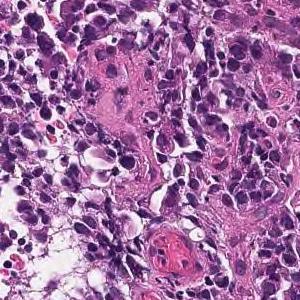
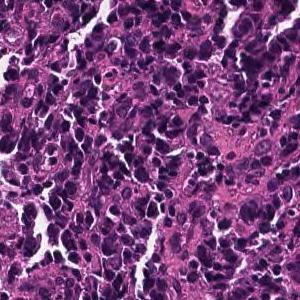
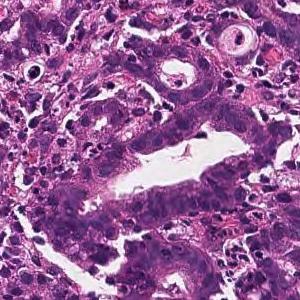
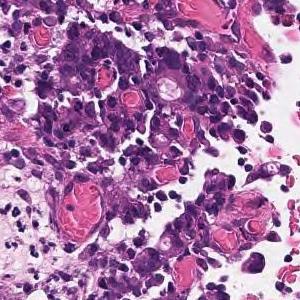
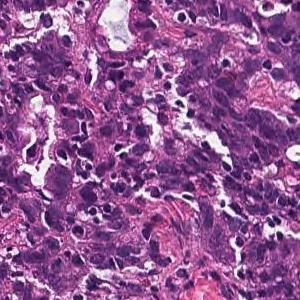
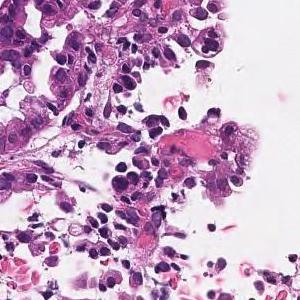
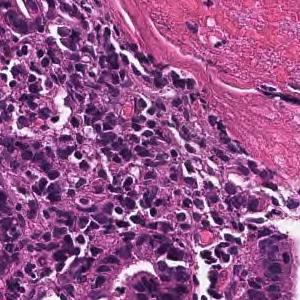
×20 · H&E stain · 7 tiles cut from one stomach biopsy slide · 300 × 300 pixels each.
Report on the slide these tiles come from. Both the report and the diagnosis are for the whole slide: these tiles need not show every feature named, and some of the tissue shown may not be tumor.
In the superficial epithelium, tumor tissue that invades by forming medium-sized to small, irregular ducts is observed. moderately differentiated tubular adenocarcinoma.
